Scanned at ×20; H&E stain; 5 patches cut from one gastric biopsy slide; 300×300 px each.
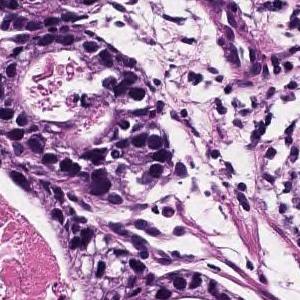
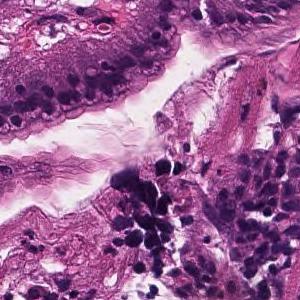
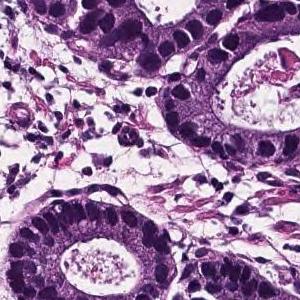
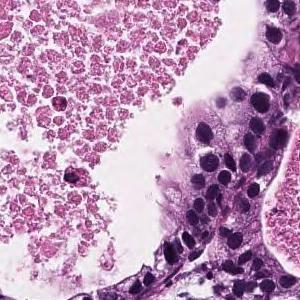
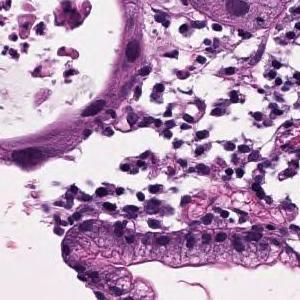
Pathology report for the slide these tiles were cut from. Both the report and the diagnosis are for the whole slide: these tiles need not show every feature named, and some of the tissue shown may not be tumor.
In the superficial epithelium, tumor tissue that invades by forming medium-sized to small, irregular ducts is observed. Well differentiated tubular adenocarcinoma.
